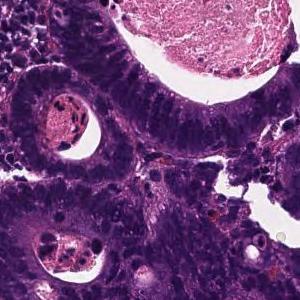
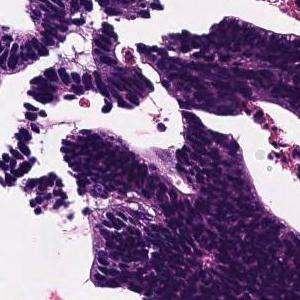
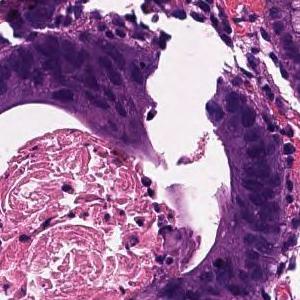
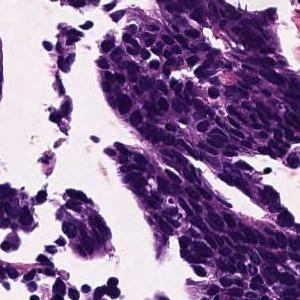
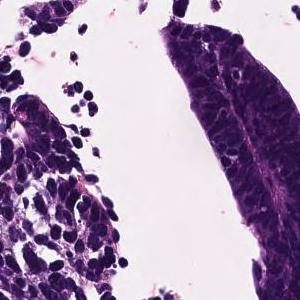
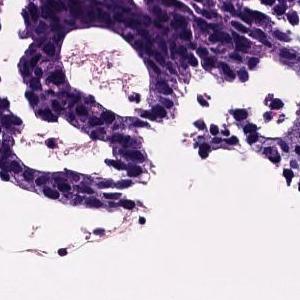
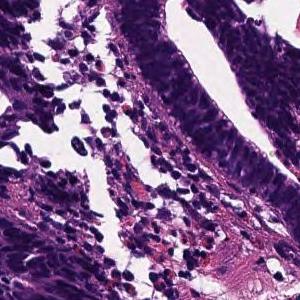
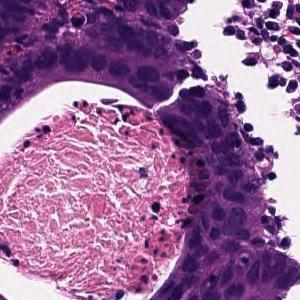
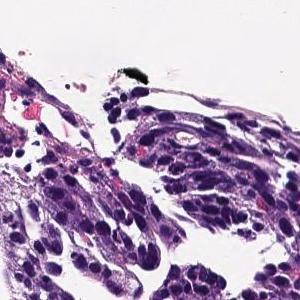
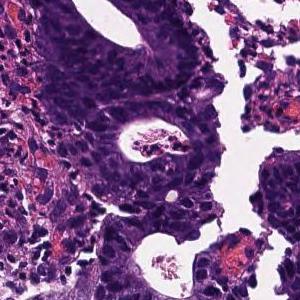
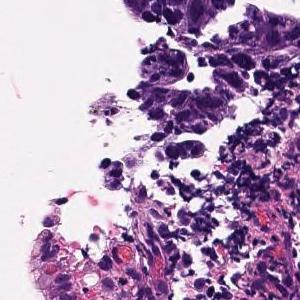
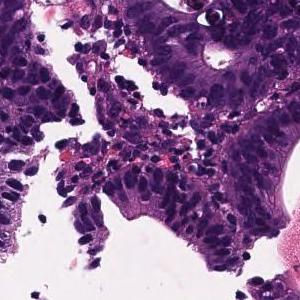
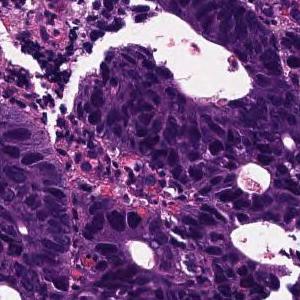
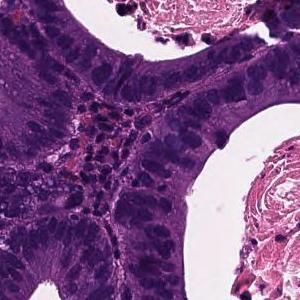
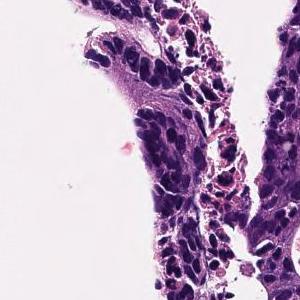
H&E; 15 tiles cut from one stomach biopsy slide.
Report on the slide these tiles come from. The findings and the diagnosis refer to the entire slide; these tiles show only part of it, possibly with non-tumor tissue, and may not show every feature named.
In the superficial epithelium, tumor tissue that invades by forming medium-sized to small, irregular ducts is observed. moderately differentiated tubular adenocarcinoma.
